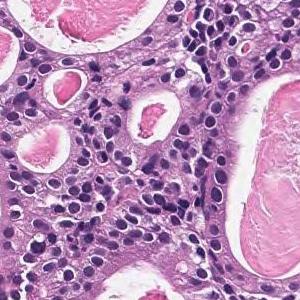
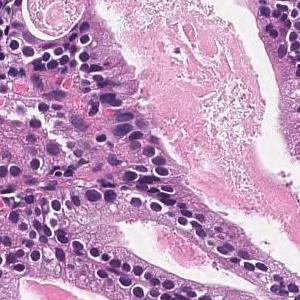
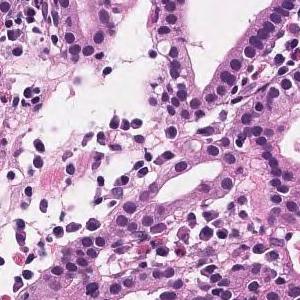
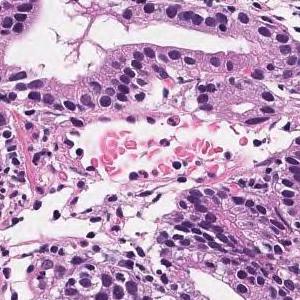
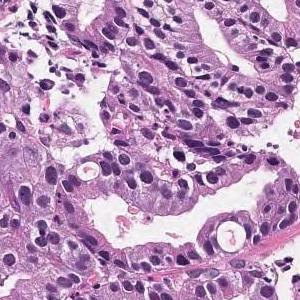
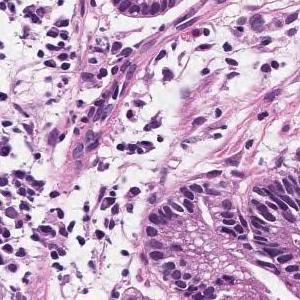
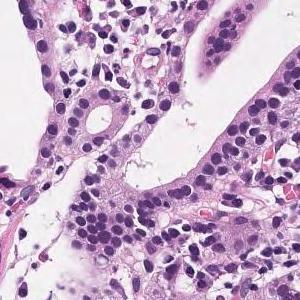
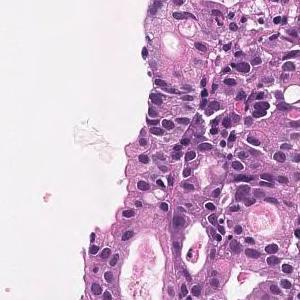
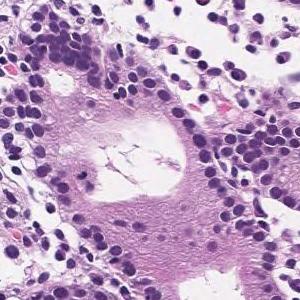
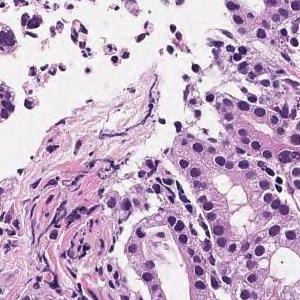
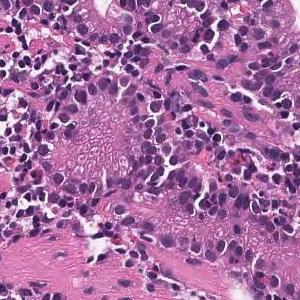
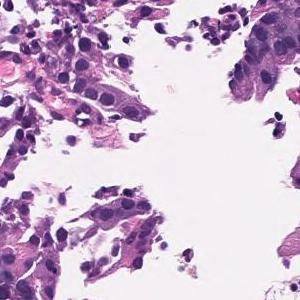
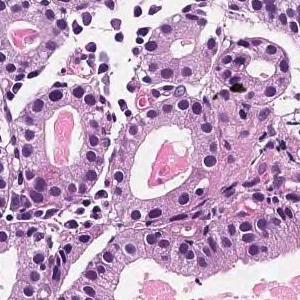
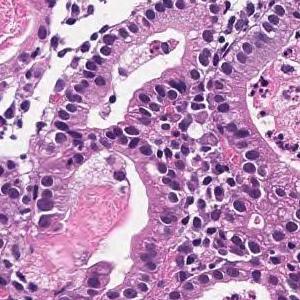
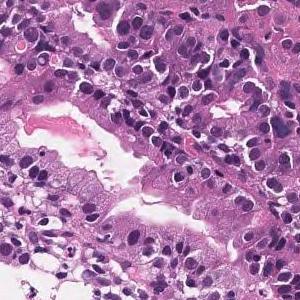
15 image tiles from a single gastric biopsy slide, H&E stain, ×20.
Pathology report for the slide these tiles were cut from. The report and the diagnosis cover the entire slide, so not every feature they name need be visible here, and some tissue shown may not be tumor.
Medium to small, irregular glandular ducts are formed in the superficial epithelium, and in some cases, the glandular ducts are fused to show solid alveolar lesions and infiltrating tumor tissue is observed. Moderately to poorly differentiated adenocarcinoma.
